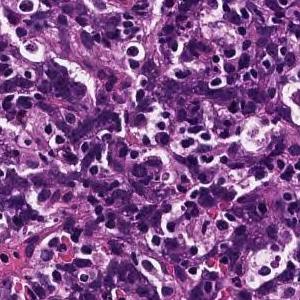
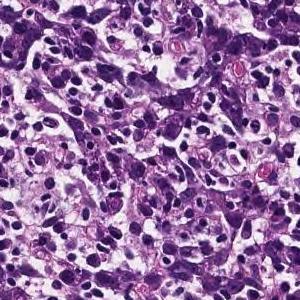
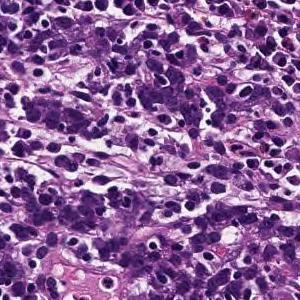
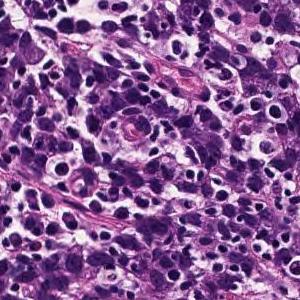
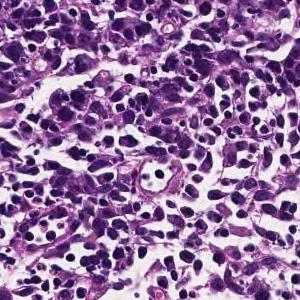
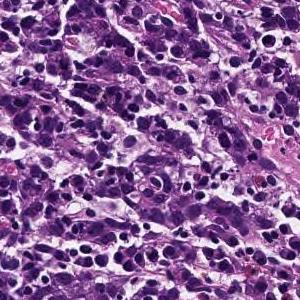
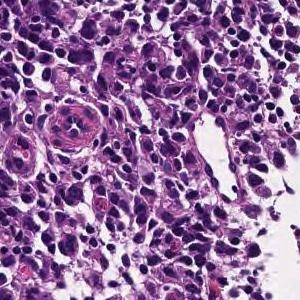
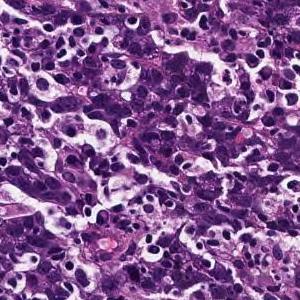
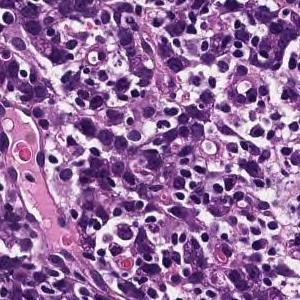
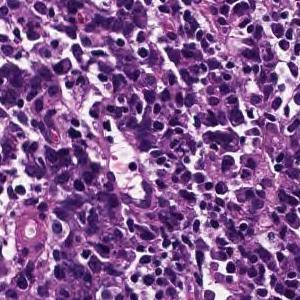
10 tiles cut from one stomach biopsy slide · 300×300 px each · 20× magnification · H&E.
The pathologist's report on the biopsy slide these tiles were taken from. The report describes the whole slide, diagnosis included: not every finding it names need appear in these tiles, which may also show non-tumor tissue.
Tumor tissue consisting of cord-like or small, irregular glandular ducts fused and infiltrated is observed in the superficial epithelium. Poorly differentiated adenocarcinoma, non-solid type
The term "non-solid type" comes from the Japanese Classification of Gastric Carcinoma.
